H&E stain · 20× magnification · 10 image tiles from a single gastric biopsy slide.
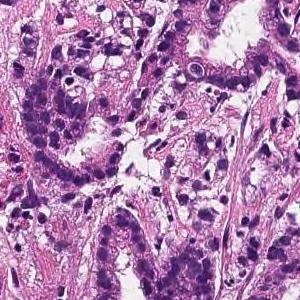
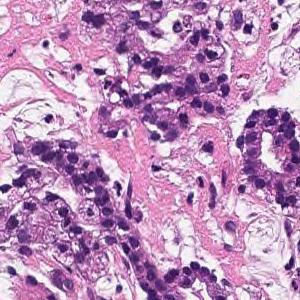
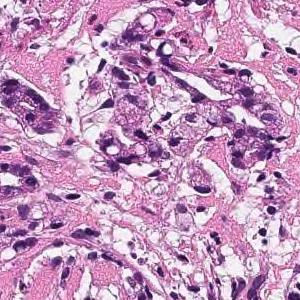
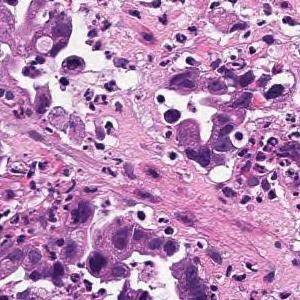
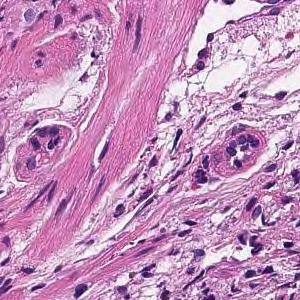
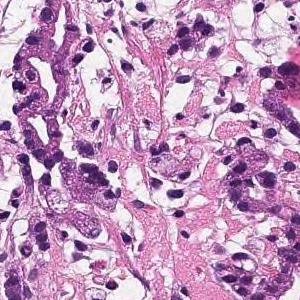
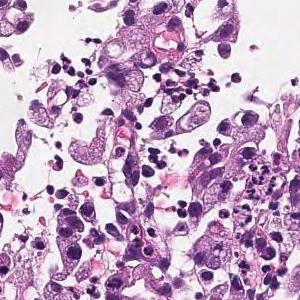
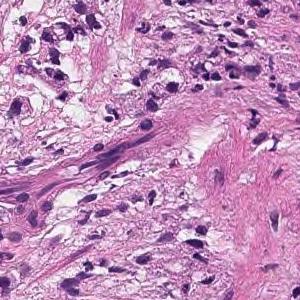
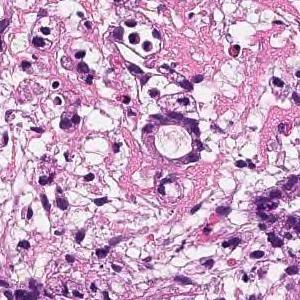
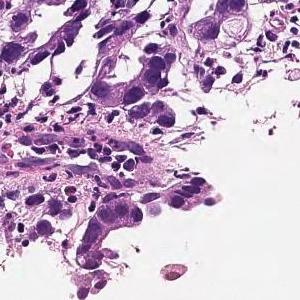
The pathologist's report on the biopsy slide these tiles were taken from. The report and the diagnosis describe the slide as a whole, so these tiles may not show every feature named and may include non-tumor tissue.
In the superficial epithelium, tumor tissue that invades by forming medium-sized to small, irregular ducts is observed. moderately differentiated tubular adenocarcinoma.
